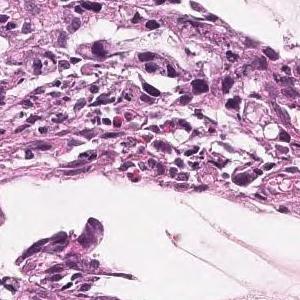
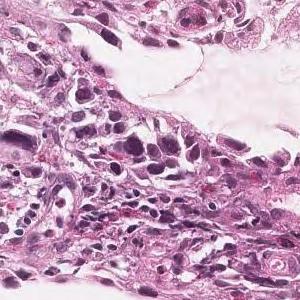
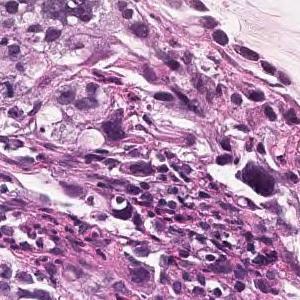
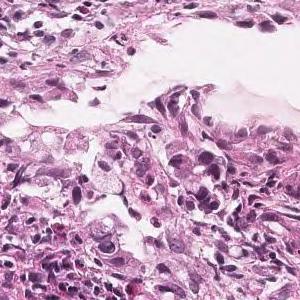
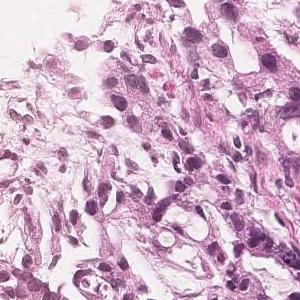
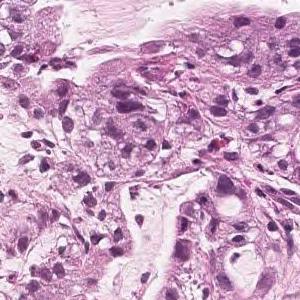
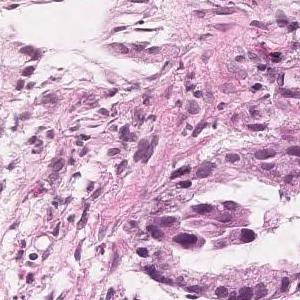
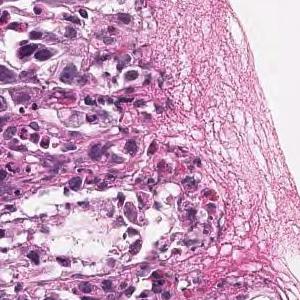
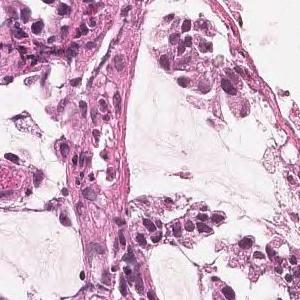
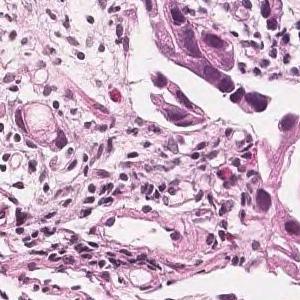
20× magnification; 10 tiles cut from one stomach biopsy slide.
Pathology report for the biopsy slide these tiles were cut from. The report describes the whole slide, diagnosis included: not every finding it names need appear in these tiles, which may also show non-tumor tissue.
Tumor tissue consisting of medium-sized, cord-like or irregular glandular infiltration is observed in the superficial epithelium. Poorly differentiated adenocarcinoma, non-solid type or moderately differentiated tubular adenocarcinoma
"Non-solid type" is a category of the Japanese Classification of Gastric Carcinoma.
